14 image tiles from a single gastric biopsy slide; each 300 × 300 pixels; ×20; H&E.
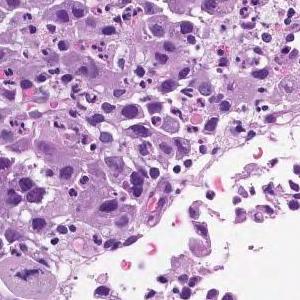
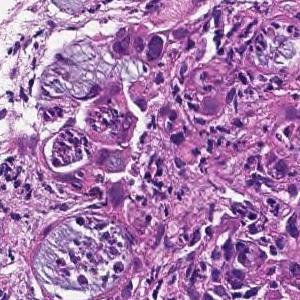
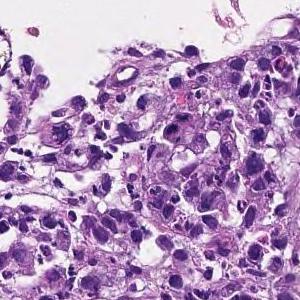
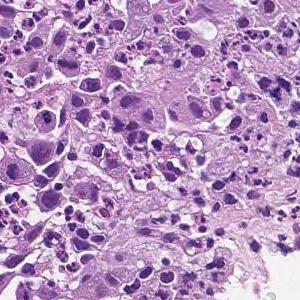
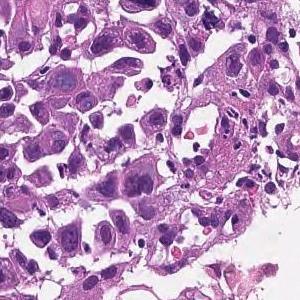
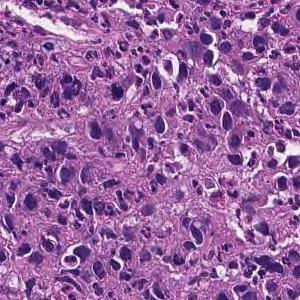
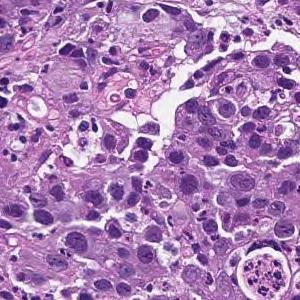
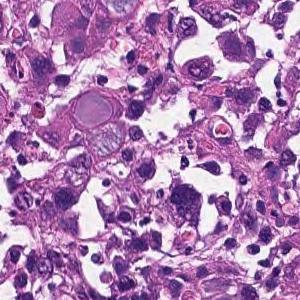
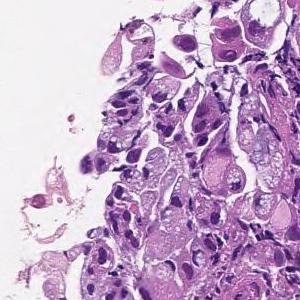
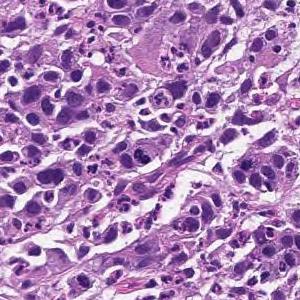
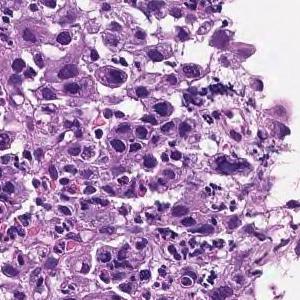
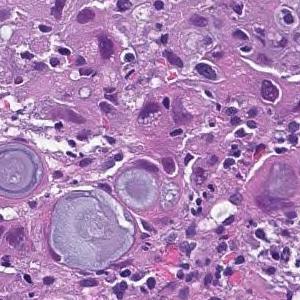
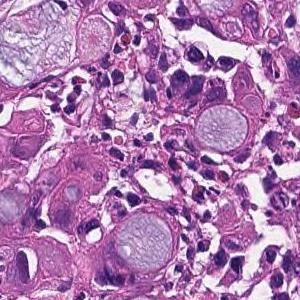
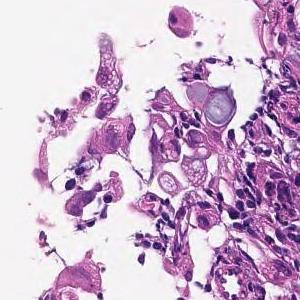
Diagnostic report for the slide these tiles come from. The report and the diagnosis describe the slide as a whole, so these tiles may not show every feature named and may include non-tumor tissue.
The superficial epithelium shows a large sheet-like shape, and some tumor tissue infiltrates with small irregular ducts. Poorly differentiated adenocarcinoma, solid-type
Subtype: Poorly differentiated adenocarcinoma, solid type. This name comes from the Japanese Classification of Gastric Carcinoma; the WHO 2019 classification calls it tubular adenocarcinoma, poorly differentiated.
